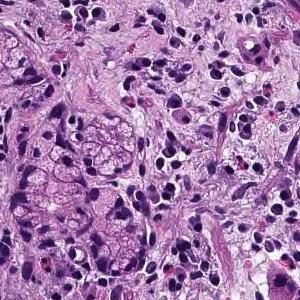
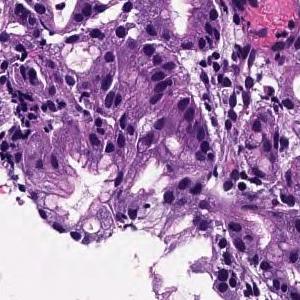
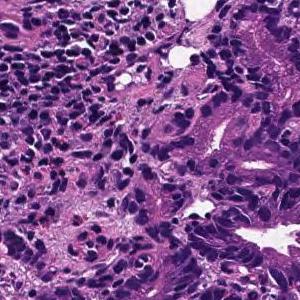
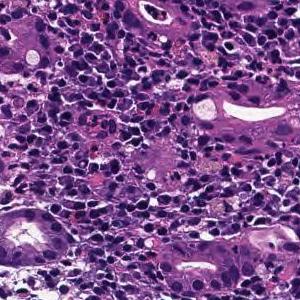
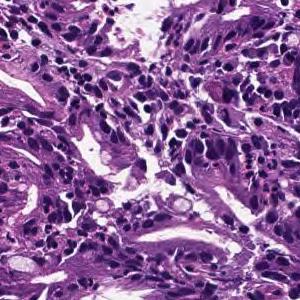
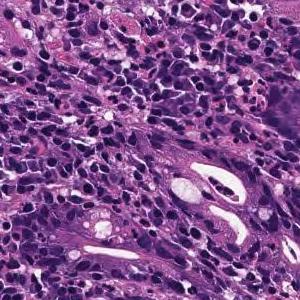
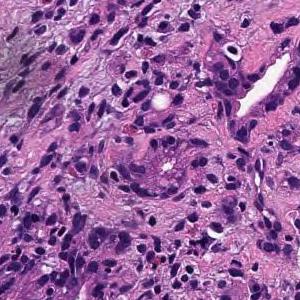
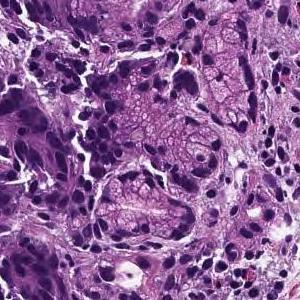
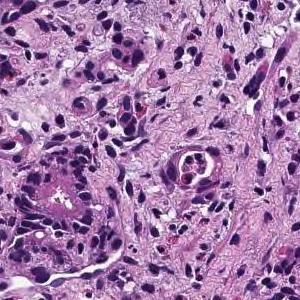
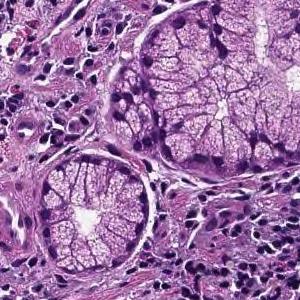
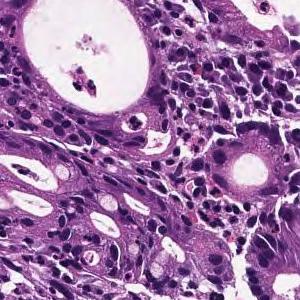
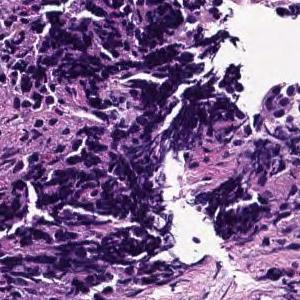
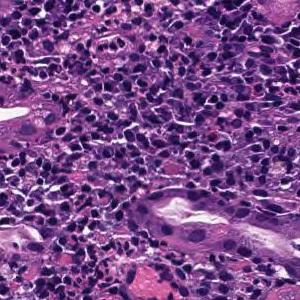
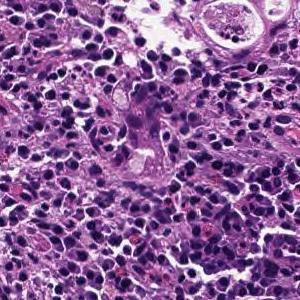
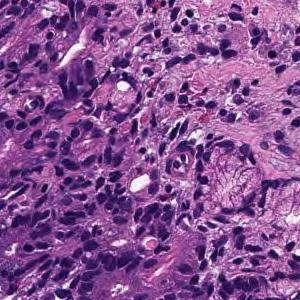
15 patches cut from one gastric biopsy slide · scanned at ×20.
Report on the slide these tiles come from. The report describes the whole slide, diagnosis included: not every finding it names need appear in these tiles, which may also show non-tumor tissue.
In the superficial epithelium, tumor tissue that invades by forming medium-sized to small, irregular ducts is observed. moderately differentiated tubular adenocarcinoma.
